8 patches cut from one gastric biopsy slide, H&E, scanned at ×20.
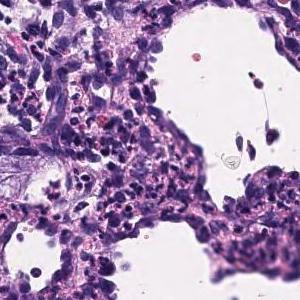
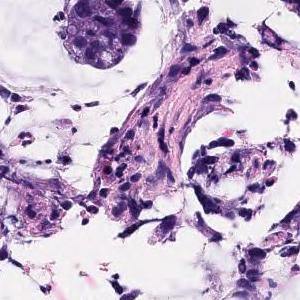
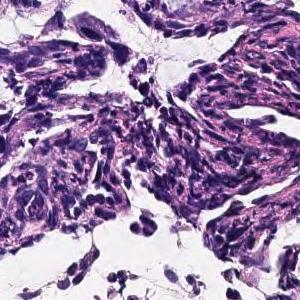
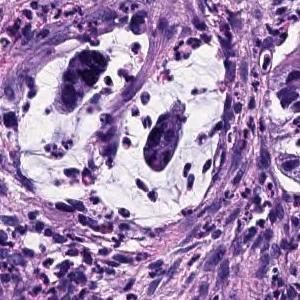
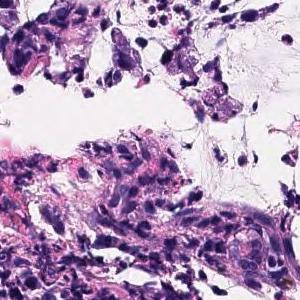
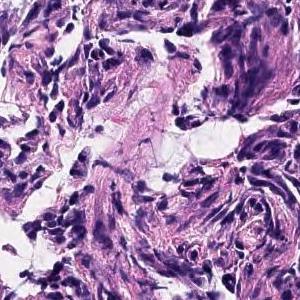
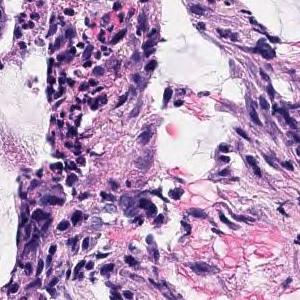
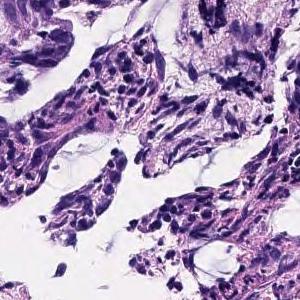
The pathologist's report on the biopsy slide these tiles were taken from. The report describes the whole slide, diagnosis included: not every finding it names need appear in these tiles, which may also show non-tumor tissue.
The superficial epithelium shows small cord-like infiltrating tumor tissue. Some part of neoplastic cells are signet ring cell type which show single invasion manner. Poorly differentiated adenocarcinoma, non-solid type.
The non-solid type named here is a Japanese Classification of Gastric Carcinoma category.
